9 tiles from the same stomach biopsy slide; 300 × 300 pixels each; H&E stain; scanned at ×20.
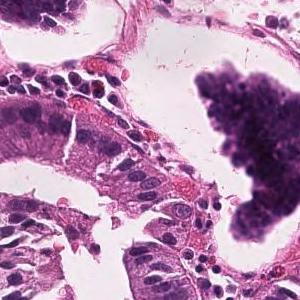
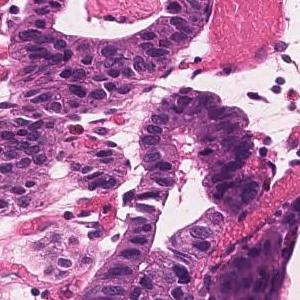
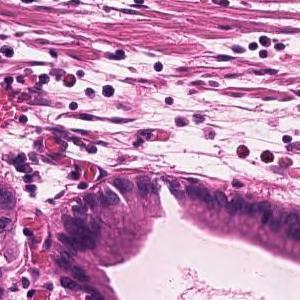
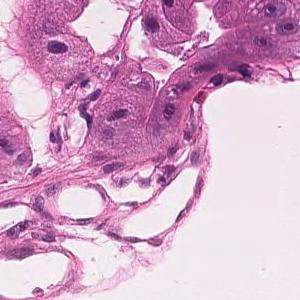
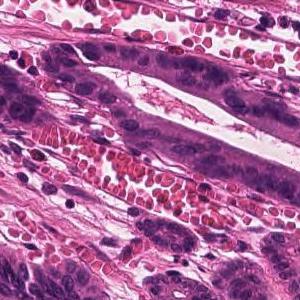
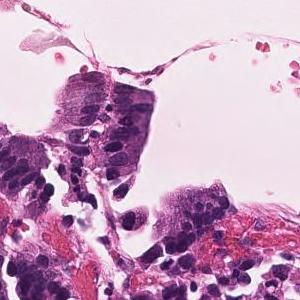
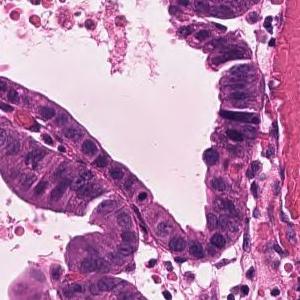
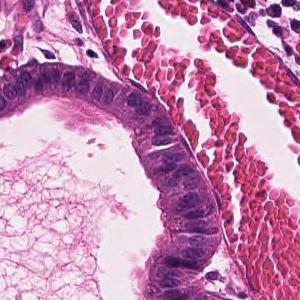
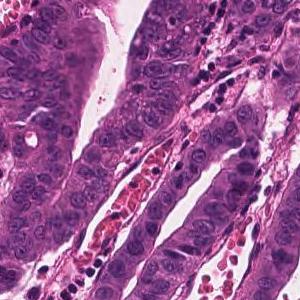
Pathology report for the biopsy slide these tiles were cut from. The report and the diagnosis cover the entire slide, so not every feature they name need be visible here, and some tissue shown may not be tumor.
Infiltrating tumor tissue with medium-sized, irregular ductal structure or large papillary appearance is observed. Well differentiated tubular adenocarcinoma
